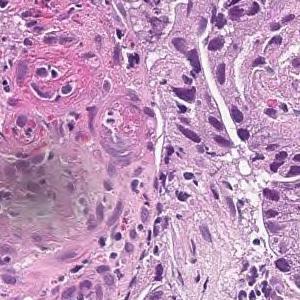
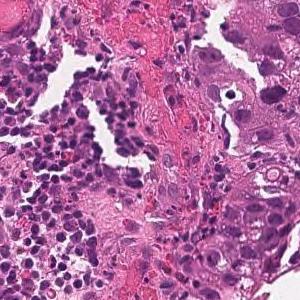
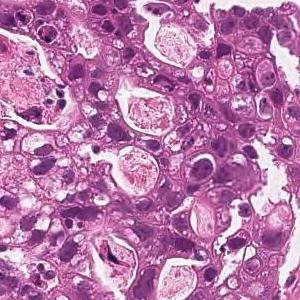
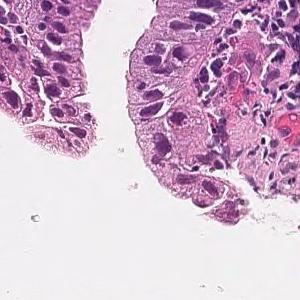
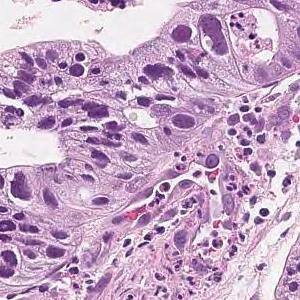
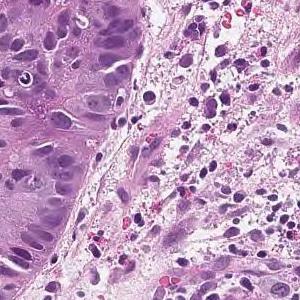
6 image tiles from a single gastric biopsy slide, H&E stain, scanned at ×20.
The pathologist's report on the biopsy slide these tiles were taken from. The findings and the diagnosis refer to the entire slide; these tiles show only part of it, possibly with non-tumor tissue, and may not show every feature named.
In the superficial epithelium, tumor tissue that invades by forming medium-sized to small, irregular ducts is observed. moderately differentiated tubular adenocarcinoma.
